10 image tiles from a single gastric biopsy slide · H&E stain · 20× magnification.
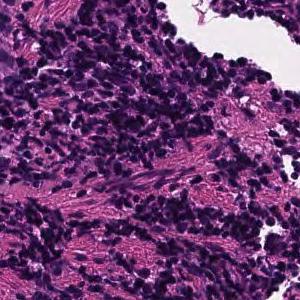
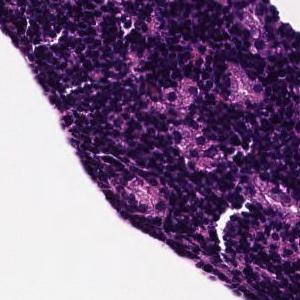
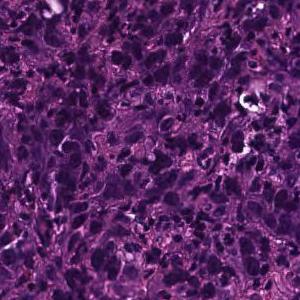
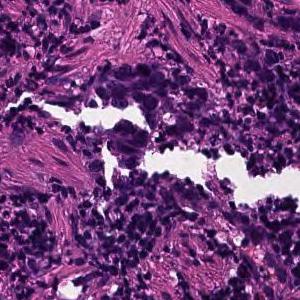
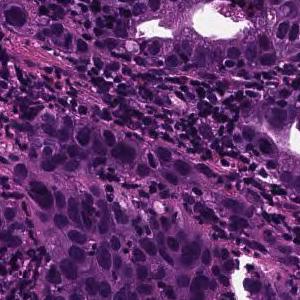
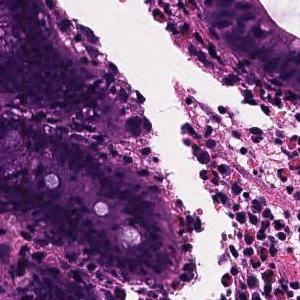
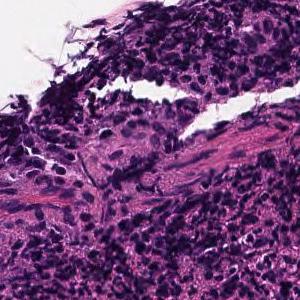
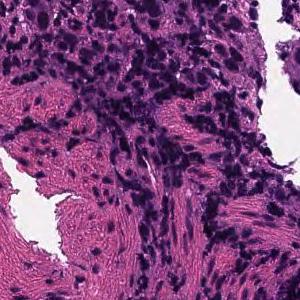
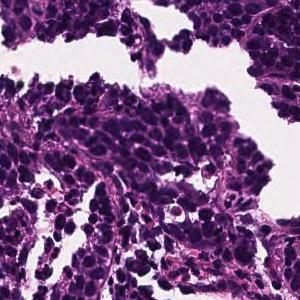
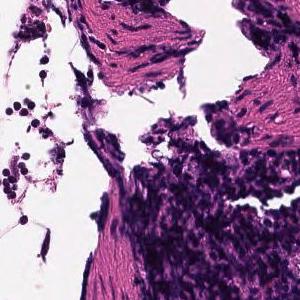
Diagnostic report for the slide these tiles come from. The report and the diagnosis describe the slide as a whole, so these tiles may not show every feature named and may include non-tumor tissue.
Tumor tissue consisting of cord-like or small, irregular glandular ducts fused and infiltrated is observed in the superficial epithelium. Poorly differentiated adenocarcinoma, non-solid type
The term "non-solid type" comes from the Japanese Classification of Gastric Carcinoma.
